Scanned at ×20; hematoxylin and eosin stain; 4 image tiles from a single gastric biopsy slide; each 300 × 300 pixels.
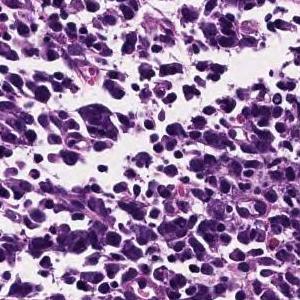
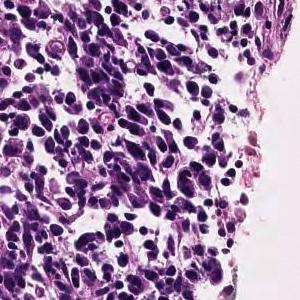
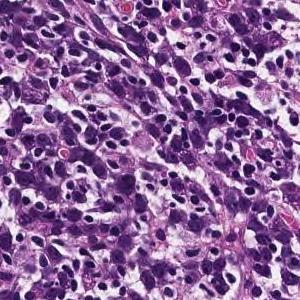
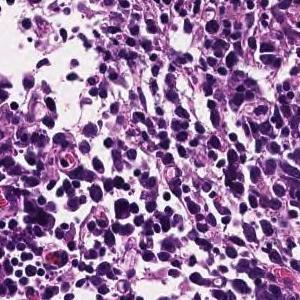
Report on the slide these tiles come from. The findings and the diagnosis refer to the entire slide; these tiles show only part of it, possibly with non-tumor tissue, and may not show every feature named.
Tumor tissue consisting of cord-like or small, irregular glandular ducts fused and infiltrated is observed in the superficial epithelium. Poorly differentiated adenocarcinoma, non-solid type
The non-solid type named here is a Japanese Classification of Gastric Carcinoma category.
